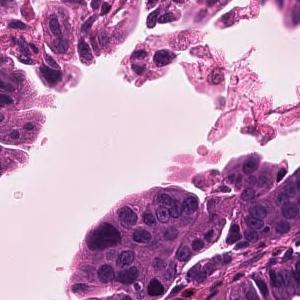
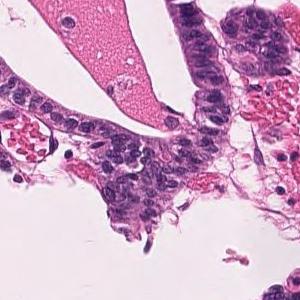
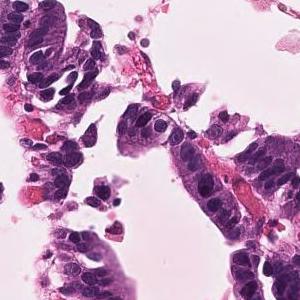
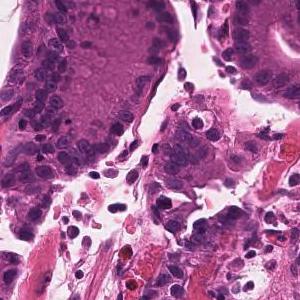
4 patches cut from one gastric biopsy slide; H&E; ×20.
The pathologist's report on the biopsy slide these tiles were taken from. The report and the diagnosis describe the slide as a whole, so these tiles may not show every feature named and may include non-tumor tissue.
Infiltrating tumor tissue with medium-sized, irregular ductal structure or large papillary appearance is observed. Well differentiated tubular adenocarcinoma
